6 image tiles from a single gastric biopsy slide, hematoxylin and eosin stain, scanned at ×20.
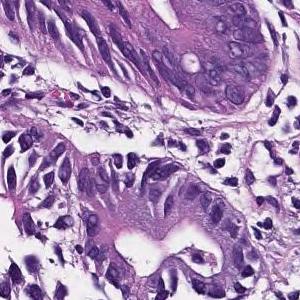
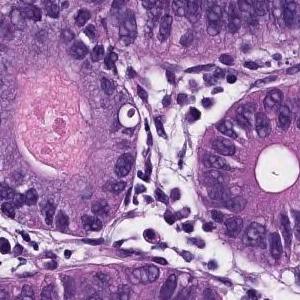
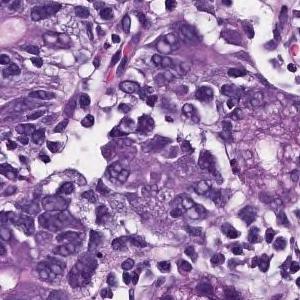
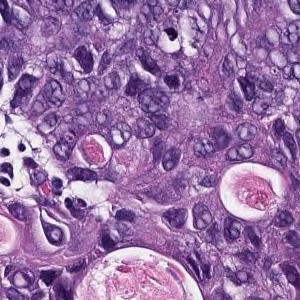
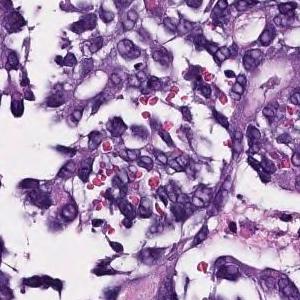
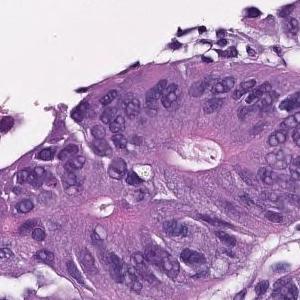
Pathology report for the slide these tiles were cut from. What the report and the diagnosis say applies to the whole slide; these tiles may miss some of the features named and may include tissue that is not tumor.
In the superficial epithelium, tumor tissue that invades by forming medium-sized to small, irregular ducts is observed. moderately differentiated tubular adenocarcinoma.
